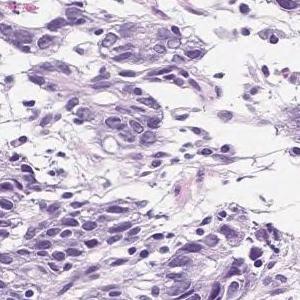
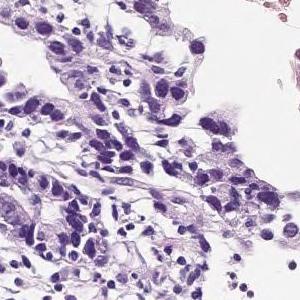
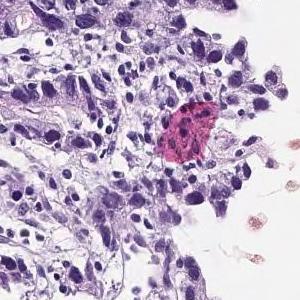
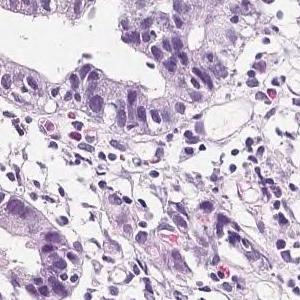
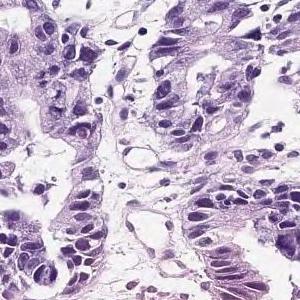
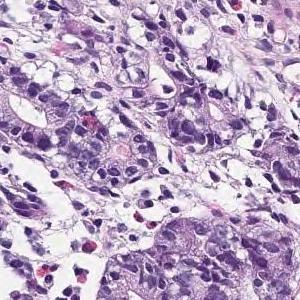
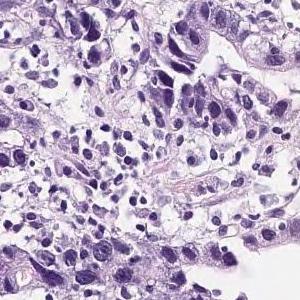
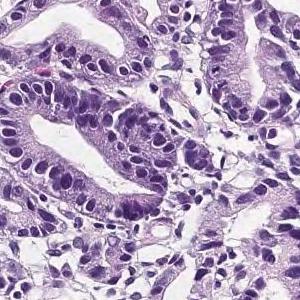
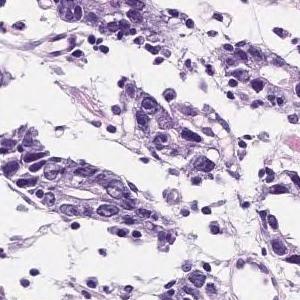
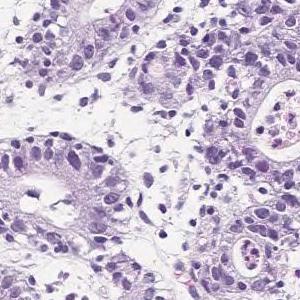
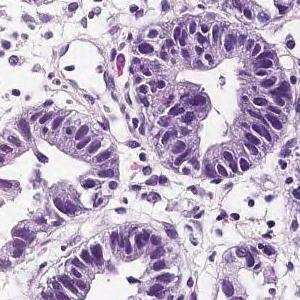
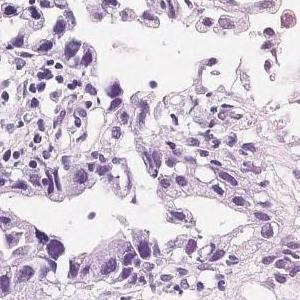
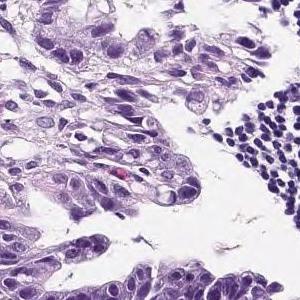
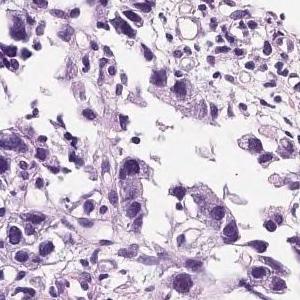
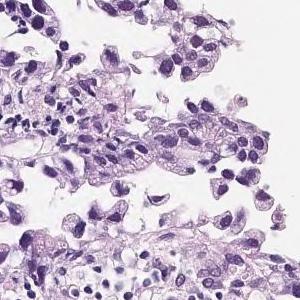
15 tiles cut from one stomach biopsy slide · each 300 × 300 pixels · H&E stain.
Pathology report for the slide these tiles were cut from. The findings and the diagnosis refer to the entire slide; these tiles show only part of it, possibly with non-tumor tissue, and may not show every feature named.
Well-differentiated tubular adenocarcinoma that grows with some small irregular ducts fused to the superficial epithelium. Well differentiated tubular adenocarcinoma
